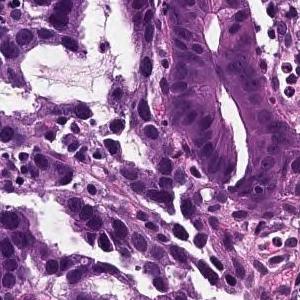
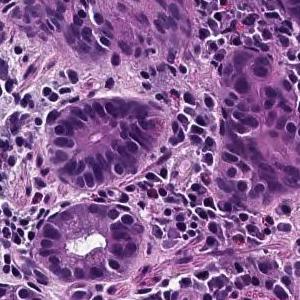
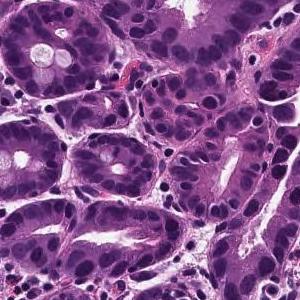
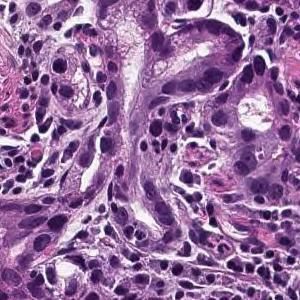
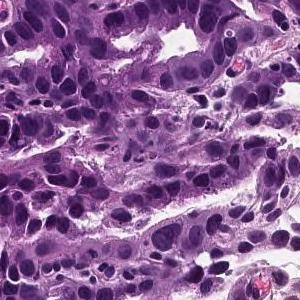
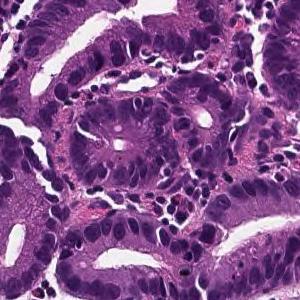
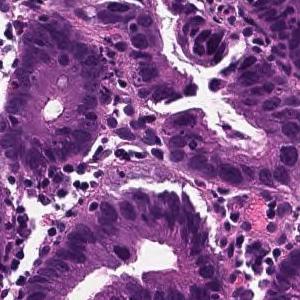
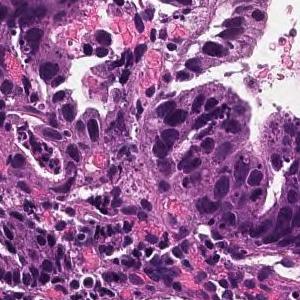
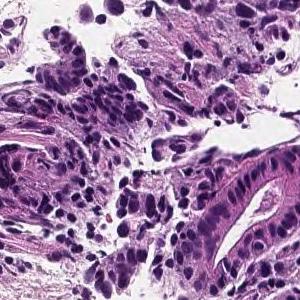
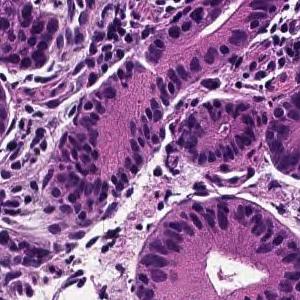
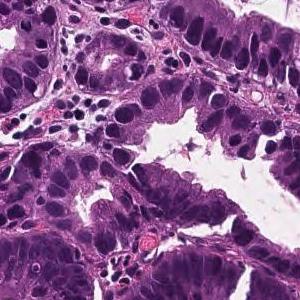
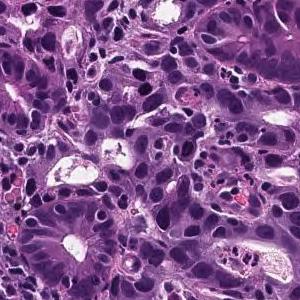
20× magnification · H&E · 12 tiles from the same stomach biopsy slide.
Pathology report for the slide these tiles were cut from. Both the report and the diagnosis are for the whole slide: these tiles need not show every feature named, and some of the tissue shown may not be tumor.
From the superficial epithelium to the muscularis mucosae, tumor tissue consisting of medium-sized and irregular glandular ducts infiltrating is observed. Well differentiated tubular adenocarcinoma
